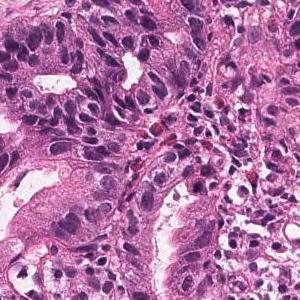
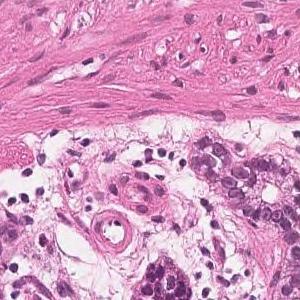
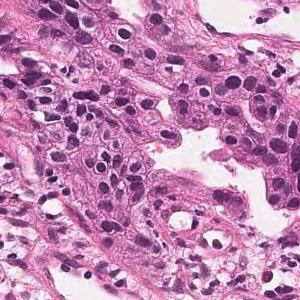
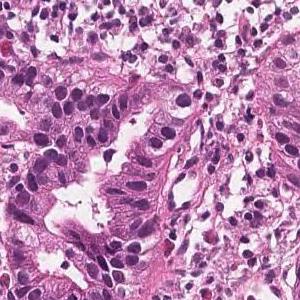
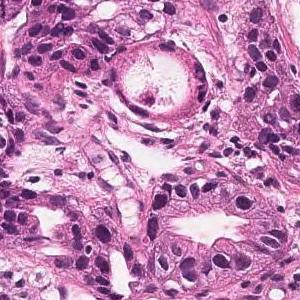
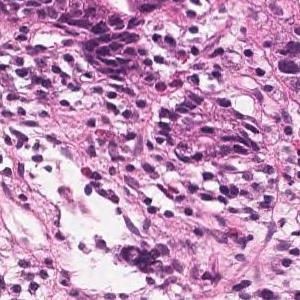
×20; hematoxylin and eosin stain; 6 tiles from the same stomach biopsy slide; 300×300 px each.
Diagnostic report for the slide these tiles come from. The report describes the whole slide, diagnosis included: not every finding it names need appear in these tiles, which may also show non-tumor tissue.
Tumor tissue consisting of medium-sized and irregular ducts is observed infiltrating in the superficial epithelium. Tumor cells are highly columnar, with nuclei aligned basolaterally and polarized. Well differentiated tubular adenocarcinoma.
